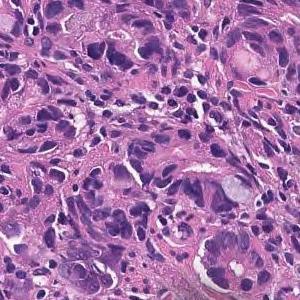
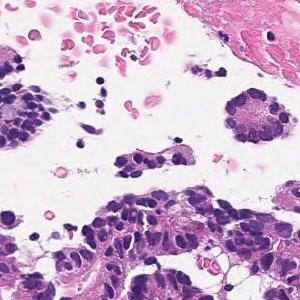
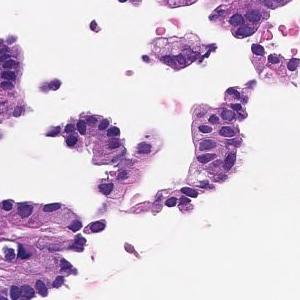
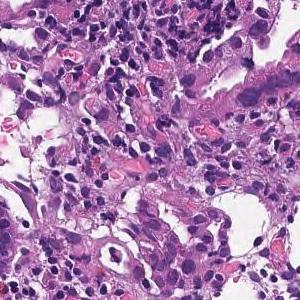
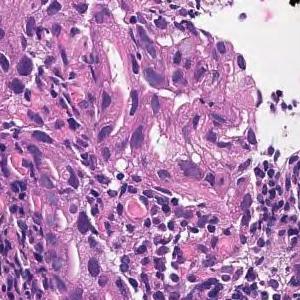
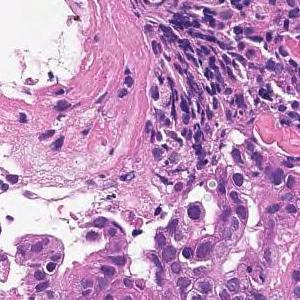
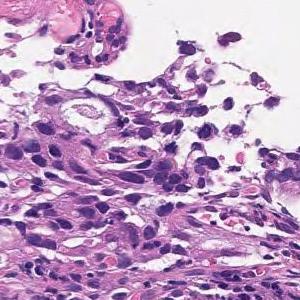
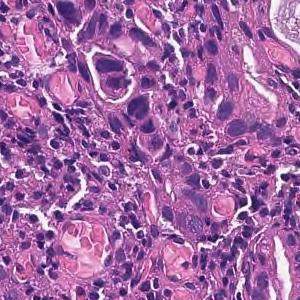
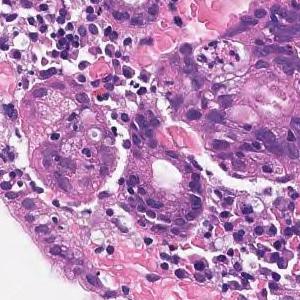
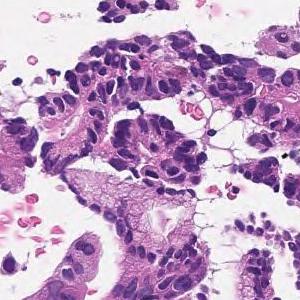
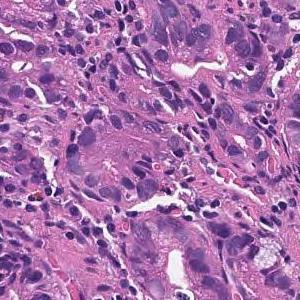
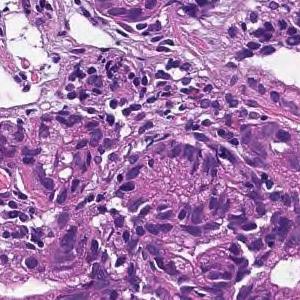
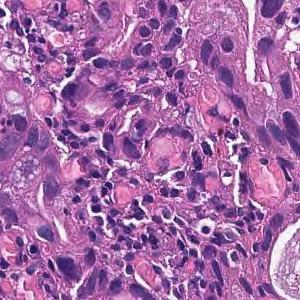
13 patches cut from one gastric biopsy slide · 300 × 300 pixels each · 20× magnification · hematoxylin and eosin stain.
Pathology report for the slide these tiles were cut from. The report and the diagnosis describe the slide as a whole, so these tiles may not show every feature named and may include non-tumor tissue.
In the superficial epithelium, tumor tissue that invades by forming medium-sized to small, irregular ducts is observed. moderately differentiated tubular adenocarcinoma.
